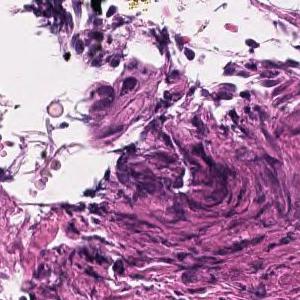
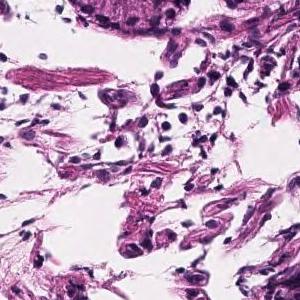
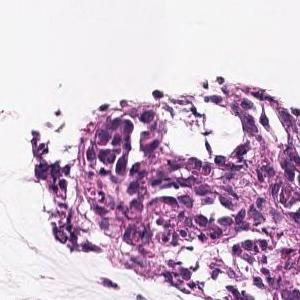
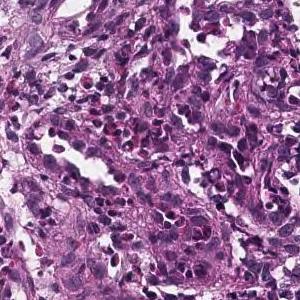
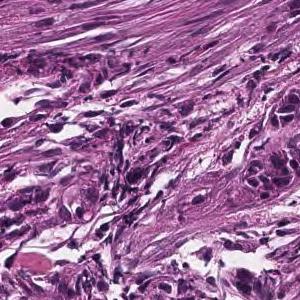
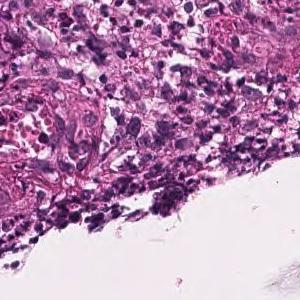
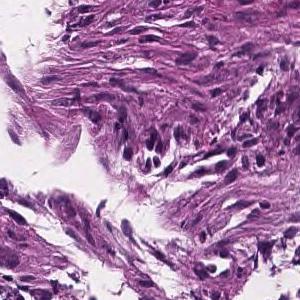
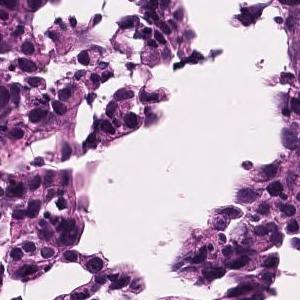
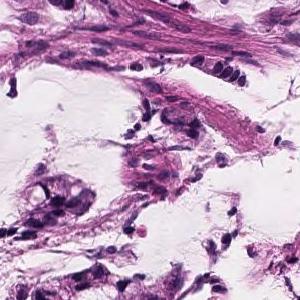
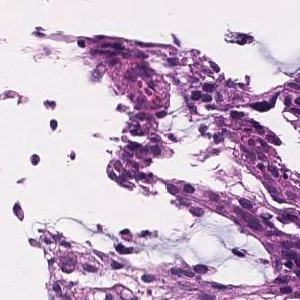
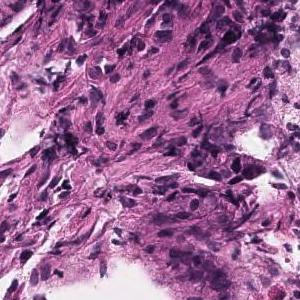
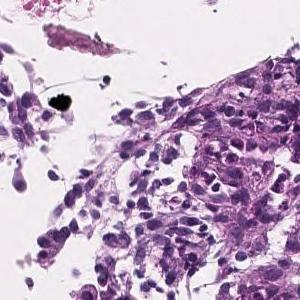
×20; H&E stain; 12 tiles cut from one stomach biopsy slide; 300×300 px each.
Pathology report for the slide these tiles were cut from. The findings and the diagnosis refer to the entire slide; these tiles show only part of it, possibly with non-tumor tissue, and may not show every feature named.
Atypical epithelial cells form obscure ductal structures or small solid follicles, and tumor tissue that proliferates invasively with proliferation of inflammatory granulation tissue is observed. Mucinous adenocarcinoma .
